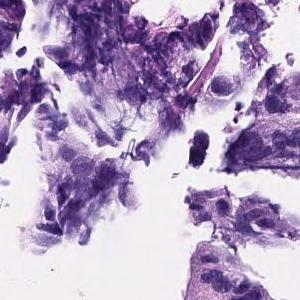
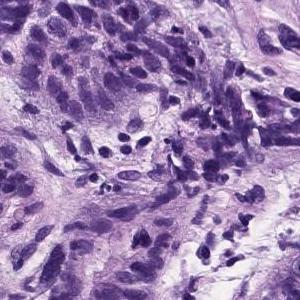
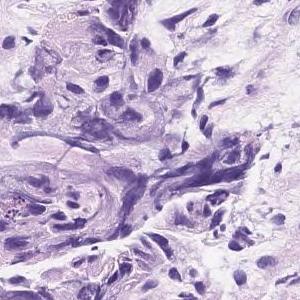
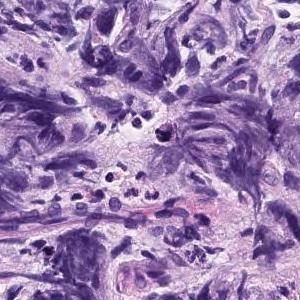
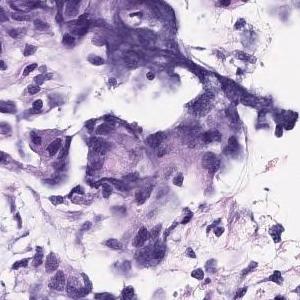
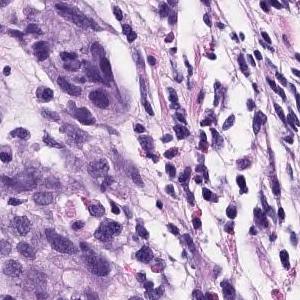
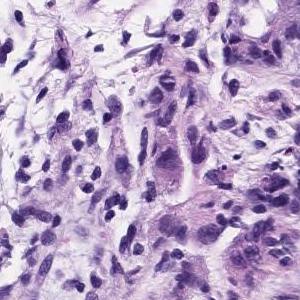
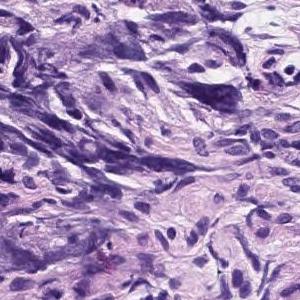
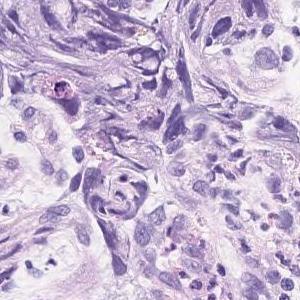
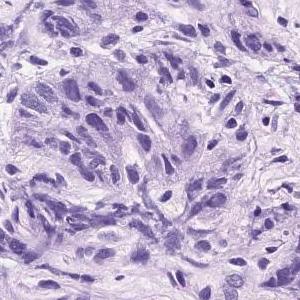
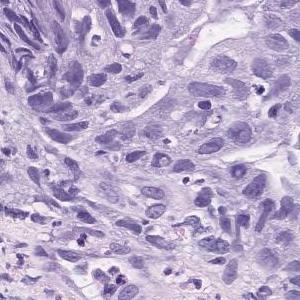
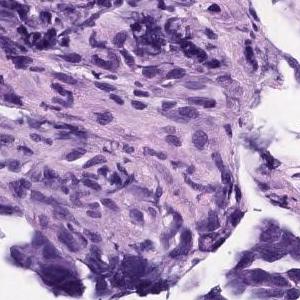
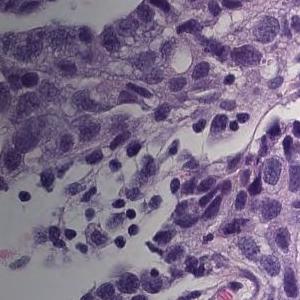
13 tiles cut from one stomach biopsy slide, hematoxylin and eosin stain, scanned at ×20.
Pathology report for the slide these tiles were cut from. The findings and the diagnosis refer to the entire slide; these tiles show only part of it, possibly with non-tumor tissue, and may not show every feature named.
Atypical epithelial cells with an increased N/C ratio proliferate and consist of a part that shows the formation of gland ducts and a part that shows solid growth. Poorly differentiated adenocarcinoma, solid-type
Subtype: Poorly differentiated adenocarcinoma, solid type, a category of the Japanese Classification of Gastric Carcinoma; in the WHO 2019 classification it is tubular adenocarcinoma, poorly differentiated.
